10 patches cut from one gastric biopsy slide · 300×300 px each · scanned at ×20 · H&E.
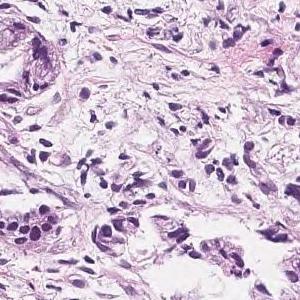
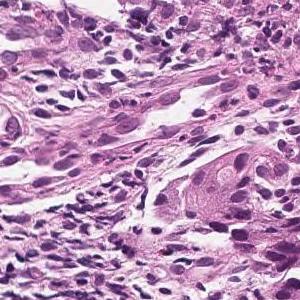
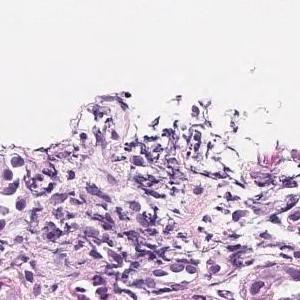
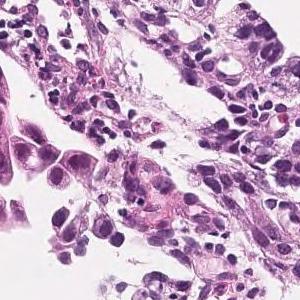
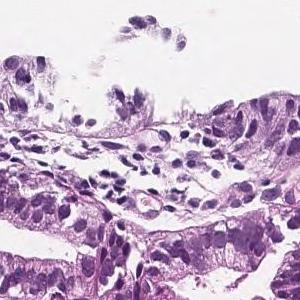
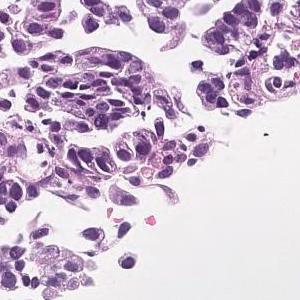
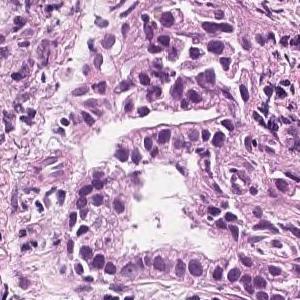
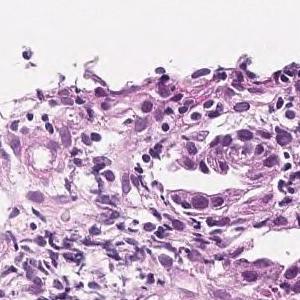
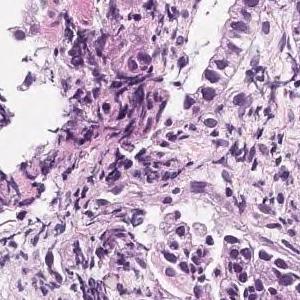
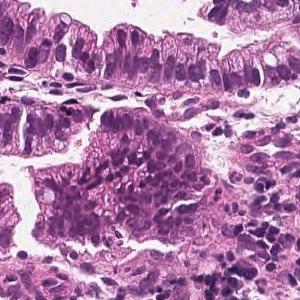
Report on the slide these tiles come from. What the report and the diagnosis say applies to the whole slide; these tiles may miss some of the features named and may include tissue that is not tumor.
In the superficial epithelium, tumor tissue that invades by forming medium-sized to small, irregular ducts is observed. moderately differentiated tubular adenocarcinoma.
